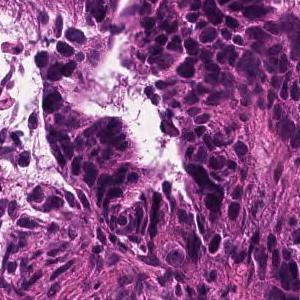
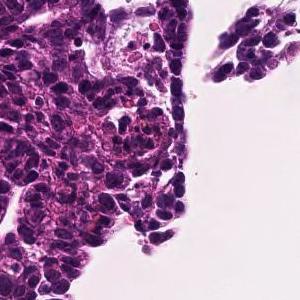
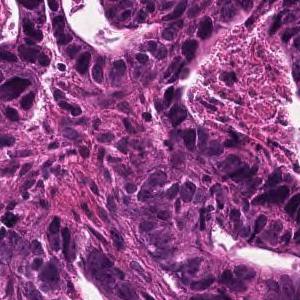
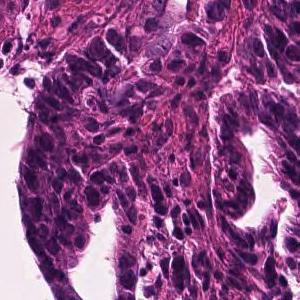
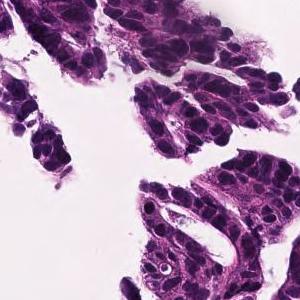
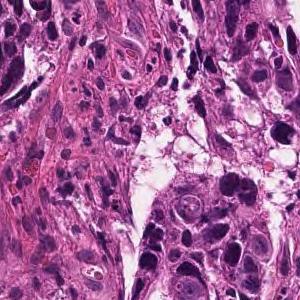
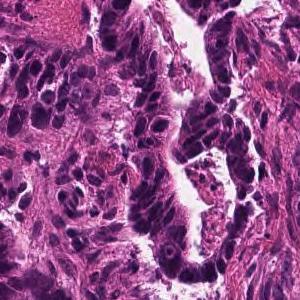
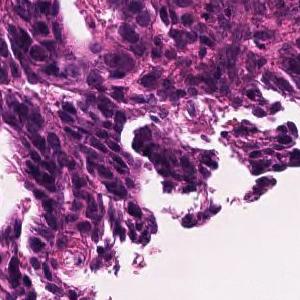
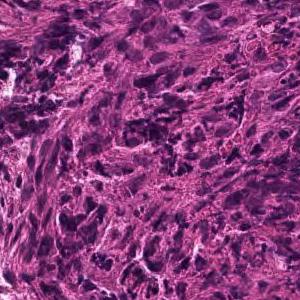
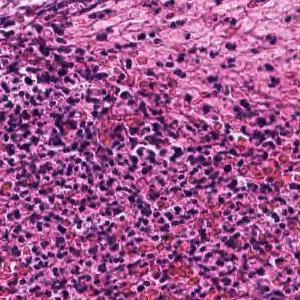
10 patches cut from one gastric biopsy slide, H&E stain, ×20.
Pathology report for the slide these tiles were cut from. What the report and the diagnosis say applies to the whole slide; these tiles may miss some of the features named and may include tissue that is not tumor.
In the superficial epithelium, tumor tissue that invades by forming medium-sized to small, irregular ducts is observed. moderately differentiated tubular adenocarcinoma.
